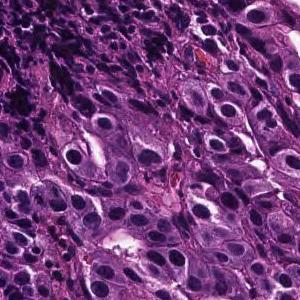
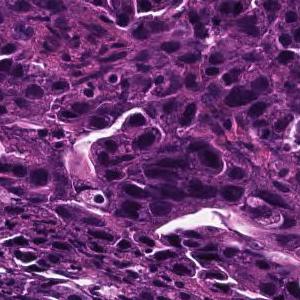
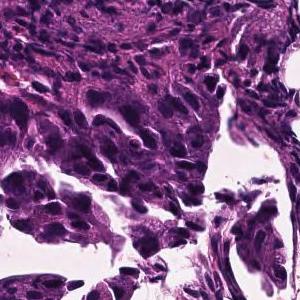
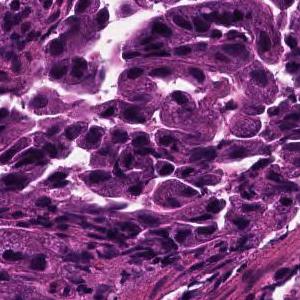
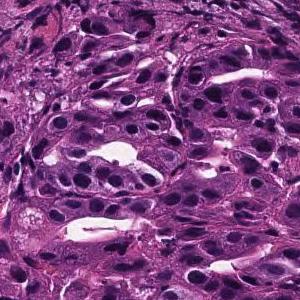
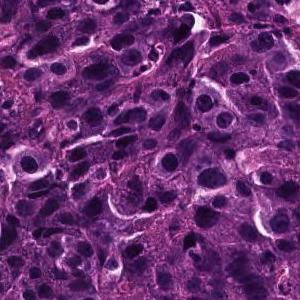
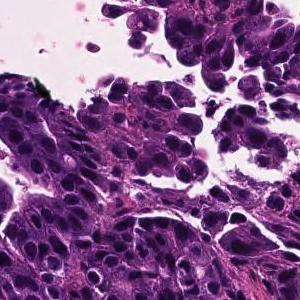
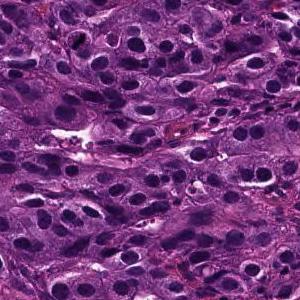
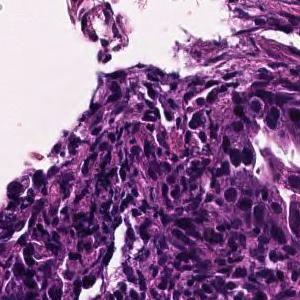
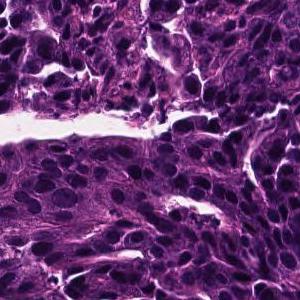
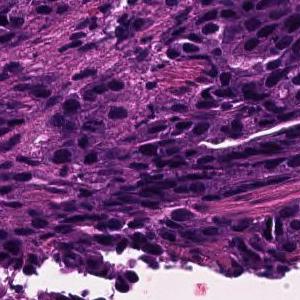
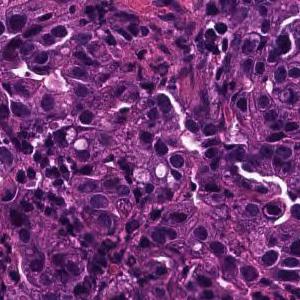
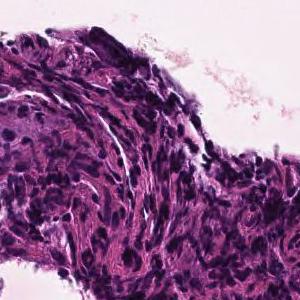
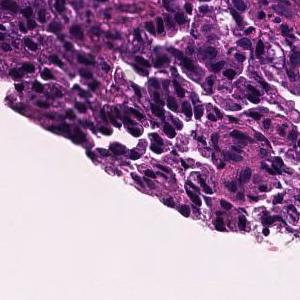
H&E · 14 patches cut from one gastric biopsy slide · 300×300 px each.
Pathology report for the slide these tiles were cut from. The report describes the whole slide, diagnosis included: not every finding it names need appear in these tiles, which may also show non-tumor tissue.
Tumor tissue consisting of medium-sized, cord-like or irregular glandular fusion and infiltration is observed in the superficial epithelium. Poorly differentiated adenocarcinoma, non-solid type or moderately differentiated tubular adenocarcinoma
Histologic type: Moderately to poorly differentiated adenocarcinoma.
The term "non-solid type" comes from the Japanese Classification of Gastric Carcinoma.
